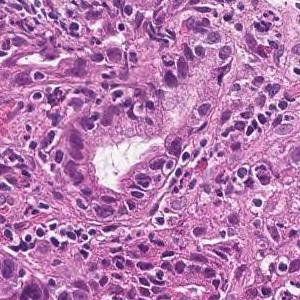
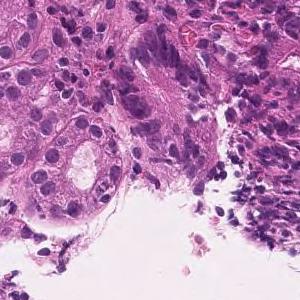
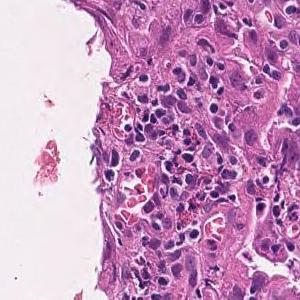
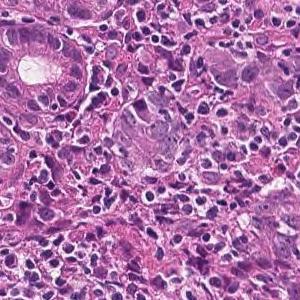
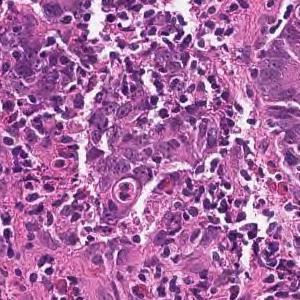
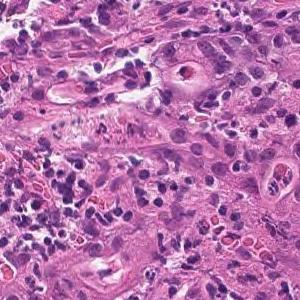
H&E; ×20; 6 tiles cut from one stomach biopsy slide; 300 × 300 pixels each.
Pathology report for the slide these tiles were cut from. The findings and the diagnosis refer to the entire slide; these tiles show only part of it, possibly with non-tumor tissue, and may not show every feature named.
Tumor tissue consisting of medium-sized, cord-like or irregular glandular infiltration is observed in the superficial epithelium. Poorly differentiated adenocarcinoma, non-solid type or moderately differentiated tubular adenocarcinoma
Labeled in the dataset as poorly differentiated adenocarcinoma, non-solid type.
"Non-solid type" is a category of the Japanese Classification of Gastric Carcinoma.
